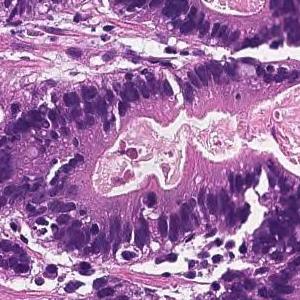
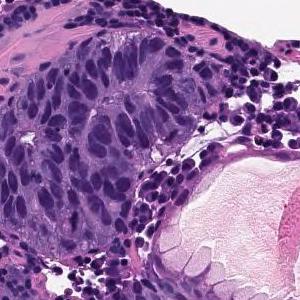
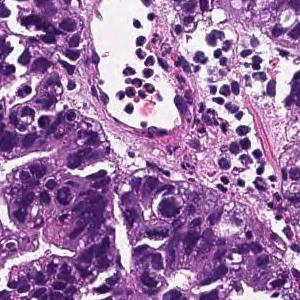
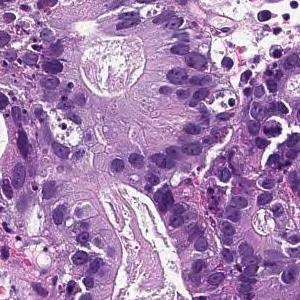
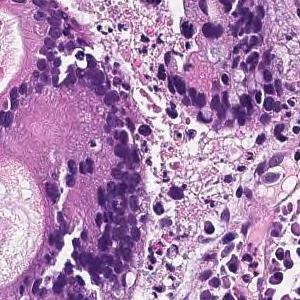
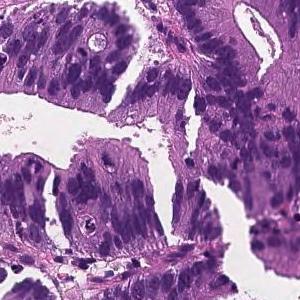
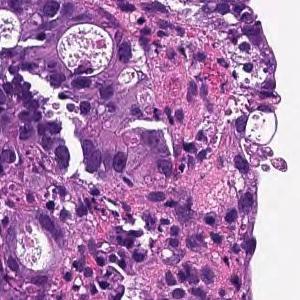
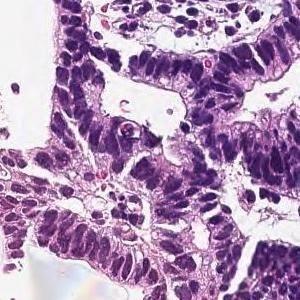
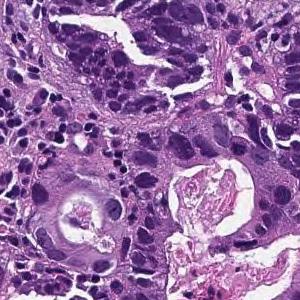
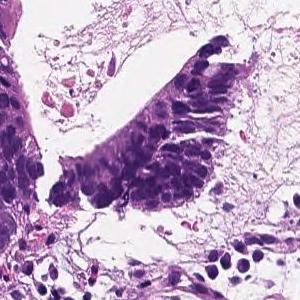
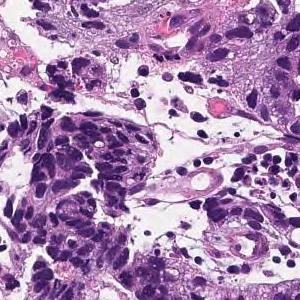
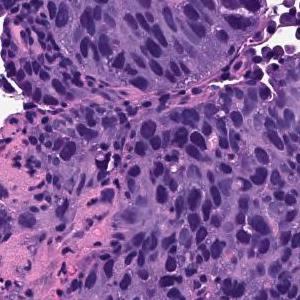
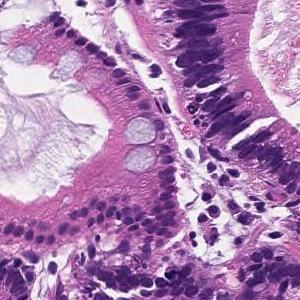
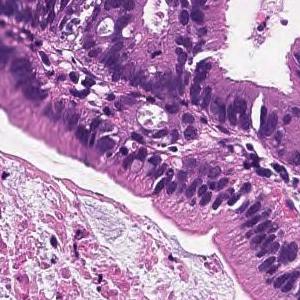
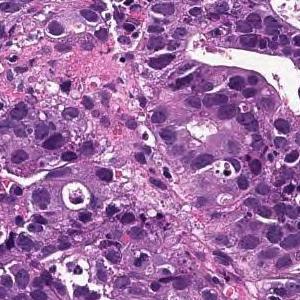
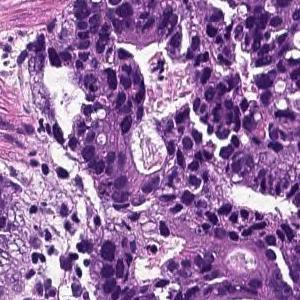
×20 · 16 tiles cut from one stomach biopsy slide.
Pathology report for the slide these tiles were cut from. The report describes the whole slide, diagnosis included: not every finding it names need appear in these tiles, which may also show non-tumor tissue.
In the superficial epithelium, tumor tissue that invades by forming medium-sized to small, irregular ducts is observed. moderately differentiated tubular adenocarcinoma.
